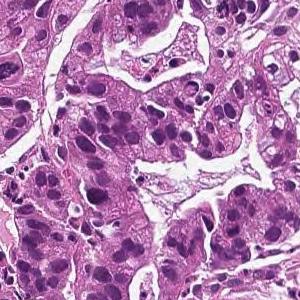
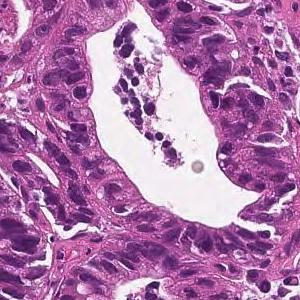
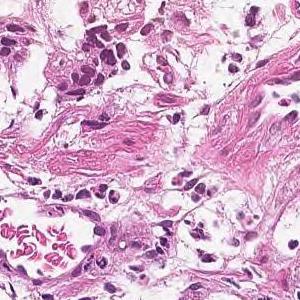
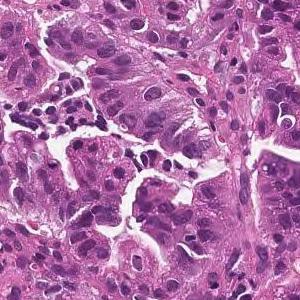
4 image tiles from a single gastric biopsy slide; 300×300 px each; H&E.
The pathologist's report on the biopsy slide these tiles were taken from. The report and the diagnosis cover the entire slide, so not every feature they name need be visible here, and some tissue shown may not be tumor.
On the superficial epithelium, tumor tissue that infiltrates by forming medium-sized papillary or small irregular ducts is observed. Papillary adenocarcinoma
